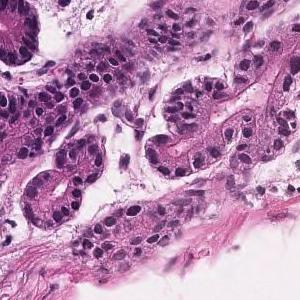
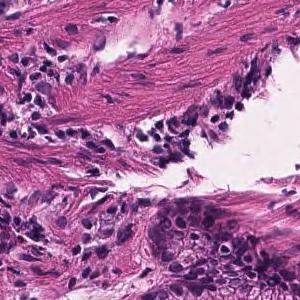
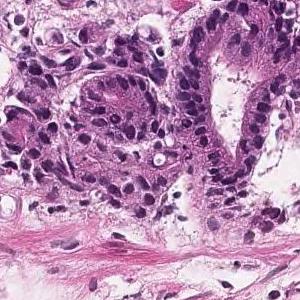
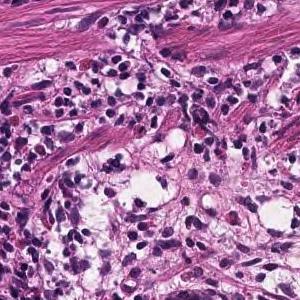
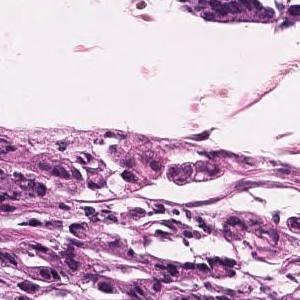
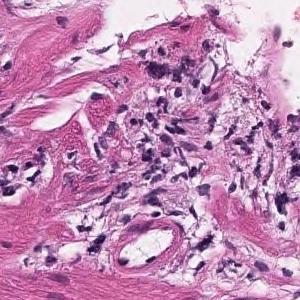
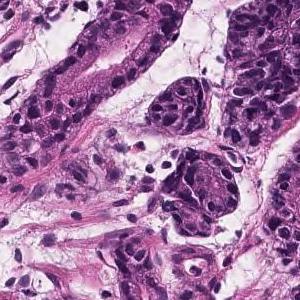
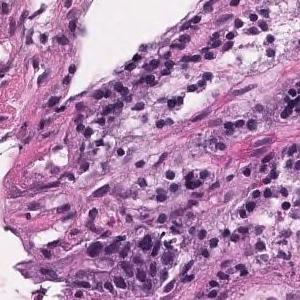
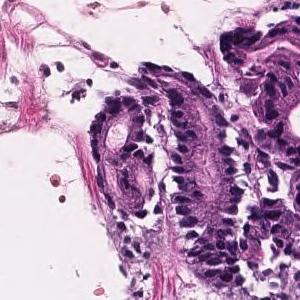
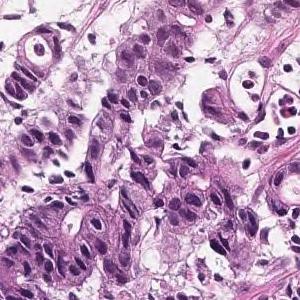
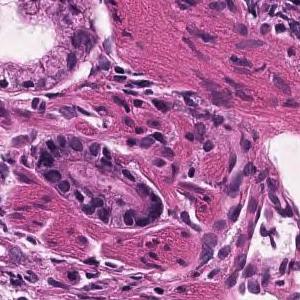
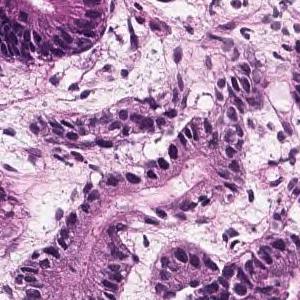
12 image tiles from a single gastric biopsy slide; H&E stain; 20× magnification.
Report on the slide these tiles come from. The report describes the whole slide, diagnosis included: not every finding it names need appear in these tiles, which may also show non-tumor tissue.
Tumor tissue with atypical epithelium showing irregular ductal or sieving ductal structure and proliferating is observed. Well to moderately differentiated tubular adenocarcinoma (well differentiated tubular adenocarcinoma-moderately differentiated tubular adenocarcinoma)
Subtype: Well to moderately differentiated tubular adenocarcinoma.
